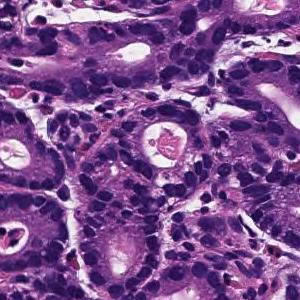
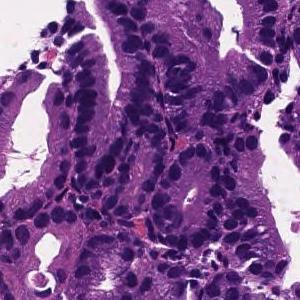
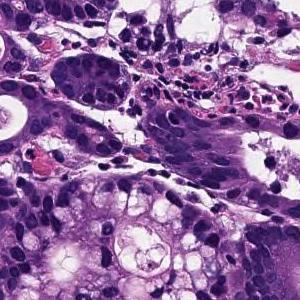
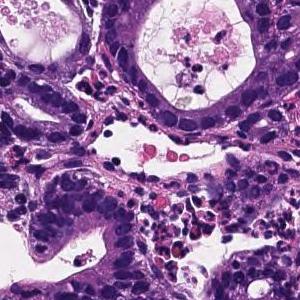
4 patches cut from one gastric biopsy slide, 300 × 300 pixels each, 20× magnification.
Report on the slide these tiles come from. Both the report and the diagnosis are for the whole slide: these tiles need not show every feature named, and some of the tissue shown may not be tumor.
From the superficial epithelium to the muscularis mucosae, tumor tissue consisting of medium-sized and irregular glandular ducts infiltrating is observed. Well differentiated tubular adenocarcinoma
